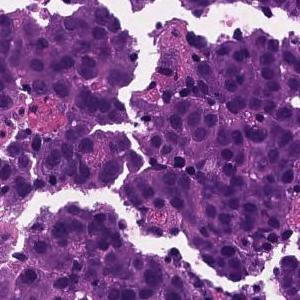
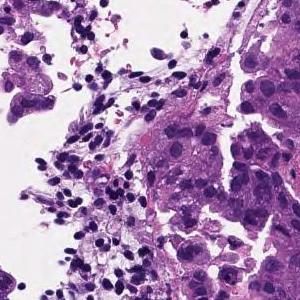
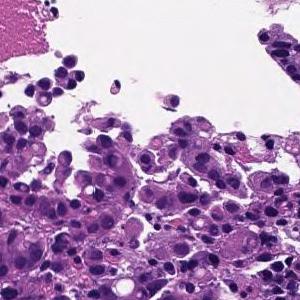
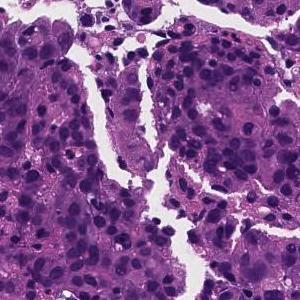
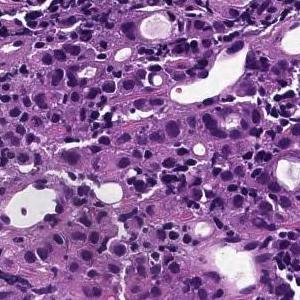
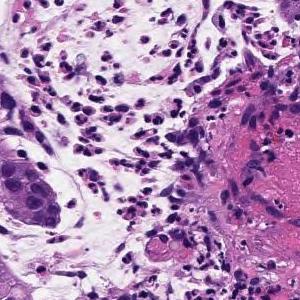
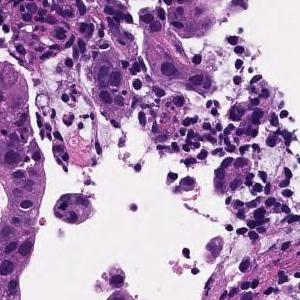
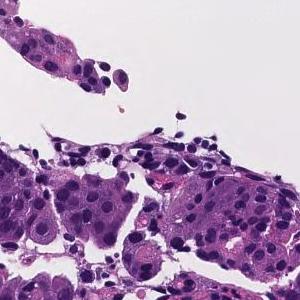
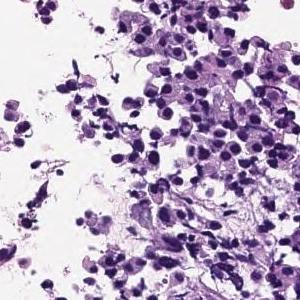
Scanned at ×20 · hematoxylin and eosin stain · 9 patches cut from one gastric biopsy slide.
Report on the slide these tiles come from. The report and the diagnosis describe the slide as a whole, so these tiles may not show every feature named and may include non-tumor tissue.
The superficial epithelium shows a large sheet-like shape, and some tumor tissue infiltrates with small irregular ducts. Poorly differentiated adenocarcinoma, solid-type
Histological subtype: Poorly differentiated adenocarcinoma, solid type (Japanese Classification of Gastric Carcinoma). The WHO 2019 equivalent is tubular adenocarcinoma, poorly differentiated.
